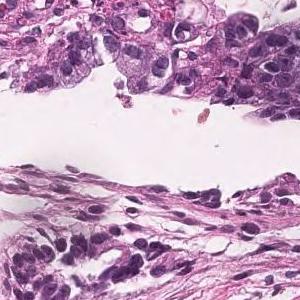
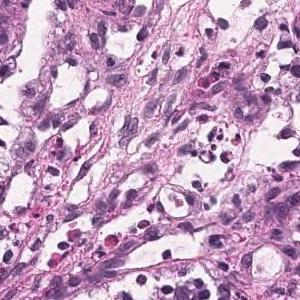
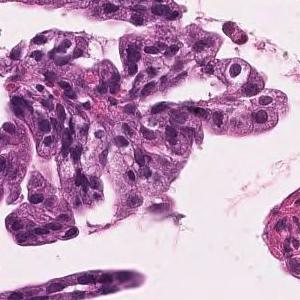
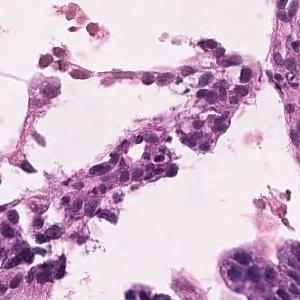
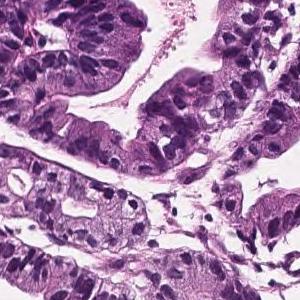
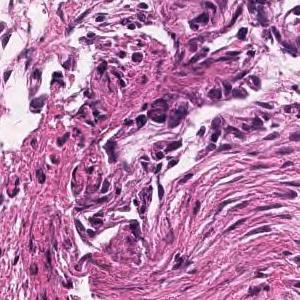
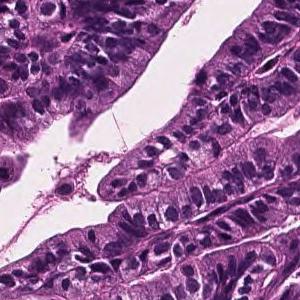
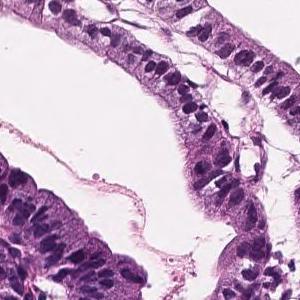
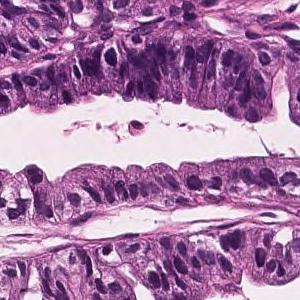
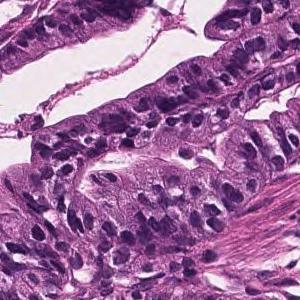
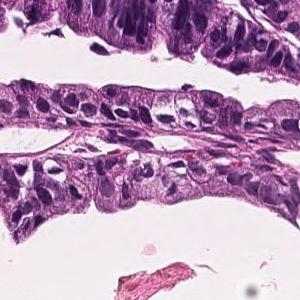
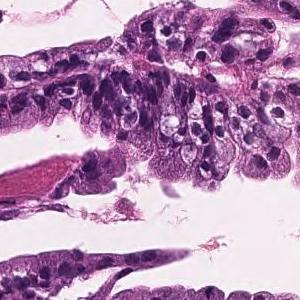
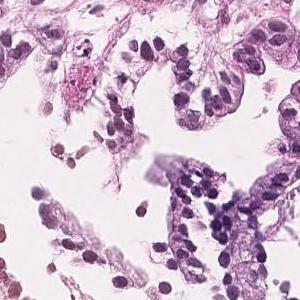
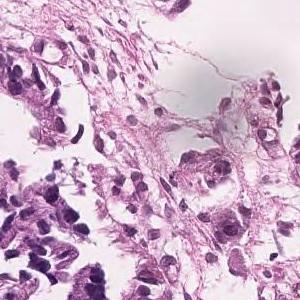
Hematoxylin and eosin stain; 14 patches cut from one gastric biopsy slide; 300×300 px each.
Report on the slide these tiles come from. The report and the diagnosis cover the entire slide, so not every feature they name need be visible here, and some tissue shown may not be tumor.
Tumor cells are large, highly columnar, large club-shaped nuclei, and are associated with chromatin aggregation. Papillary adenocarcinoma.
